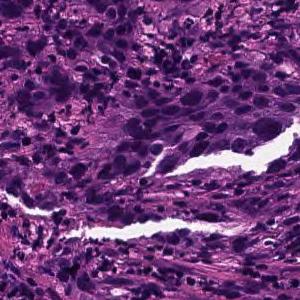
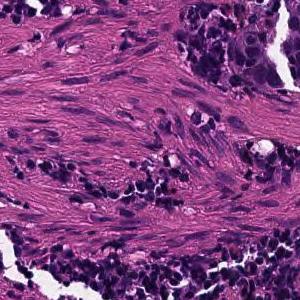
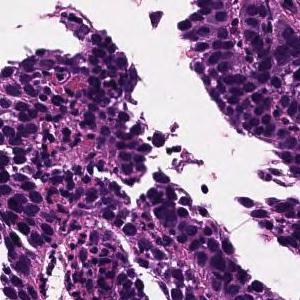
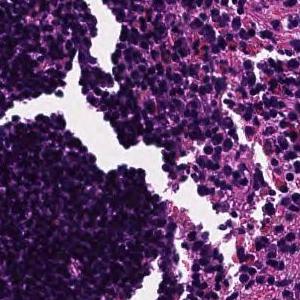
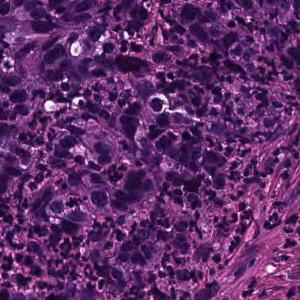
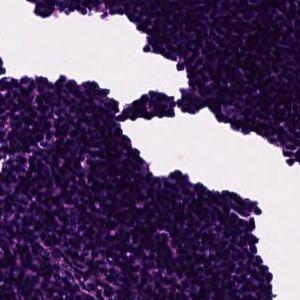
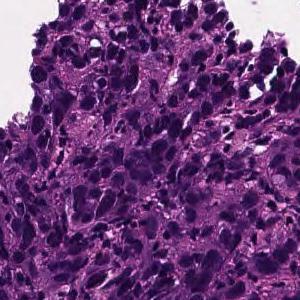
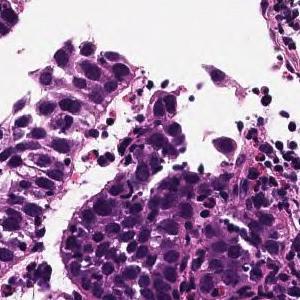
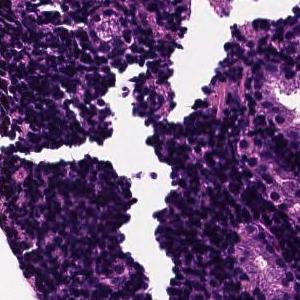
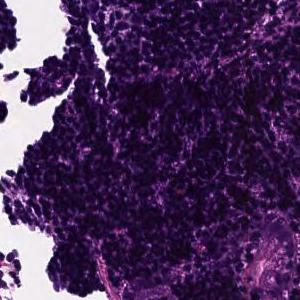
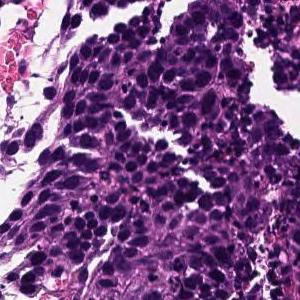
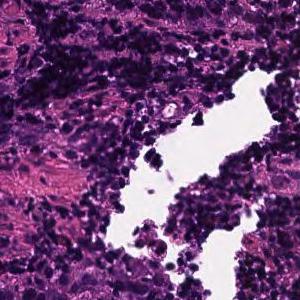
H&E · scanned at ×20 · 12 image tiles from a single gastric biopsy slide.
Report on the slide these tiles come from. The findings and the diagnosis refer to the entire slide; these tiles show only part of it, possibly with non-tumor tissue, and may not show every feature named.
Tumor tissue consisting of cord-like or small, irregular glandular ducts fused and infiltrated is observed in the superficial epithelium. Poorly differentiated adenocarcinoma, non-solid type
The non-solid type named here is a Japanese Classification of Gastric Carcinoma category.
